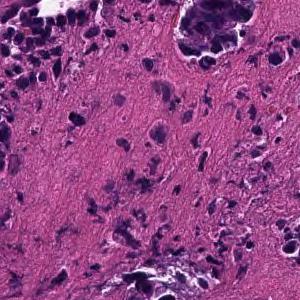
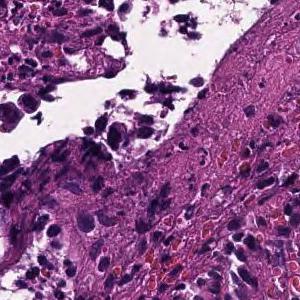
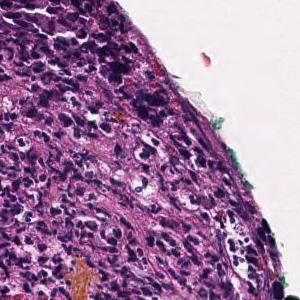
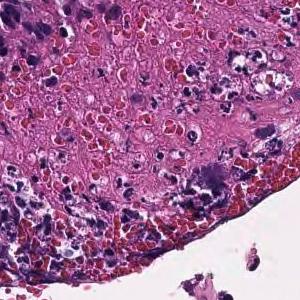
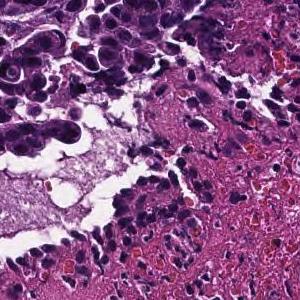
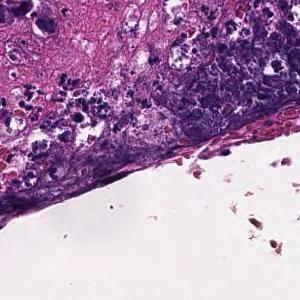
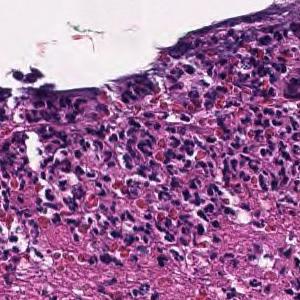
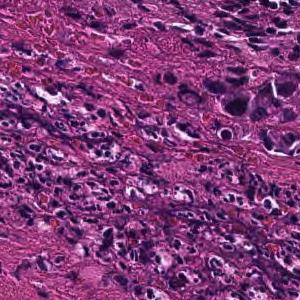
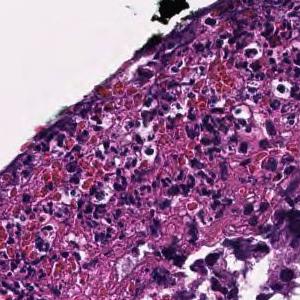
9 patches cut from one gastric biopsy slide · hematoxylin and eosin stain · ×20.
Report on the slide these tiles come from. The findings and the diagnosis refer to the entire slide; these tiles show only part of it, possibly with non-tumor tissue, and may not show every feature named.
Tumor tissue consisting of cord-like or small, irregular glandular ducts fused and infiltrated is observed in the superficial epithelium. Poorly differentiated adenocarcinoma, non-solid type
The term "non-solid type" comes from the Japanese Classification of Gastric Carcinoma.
